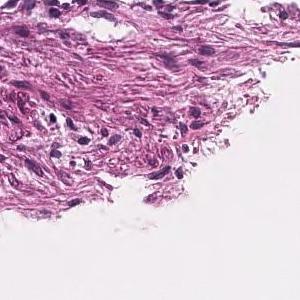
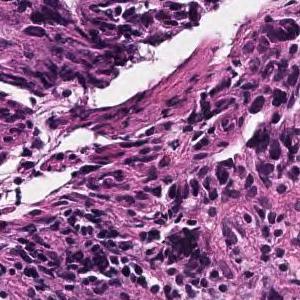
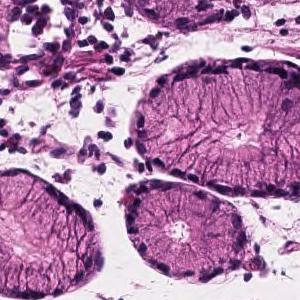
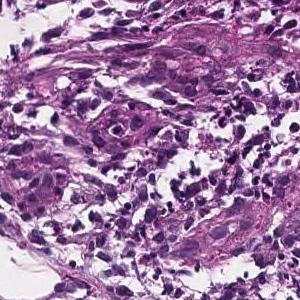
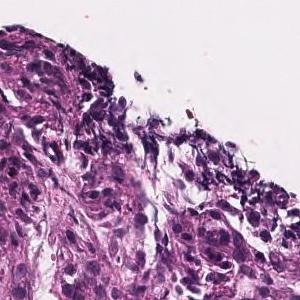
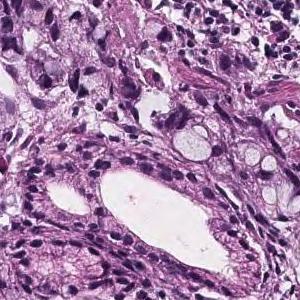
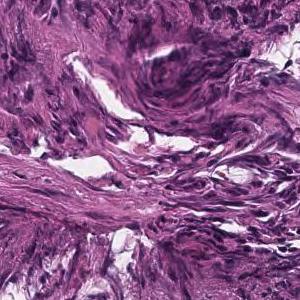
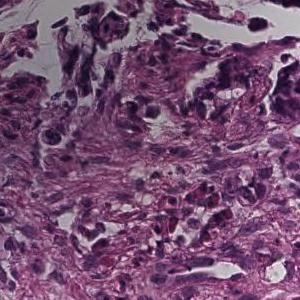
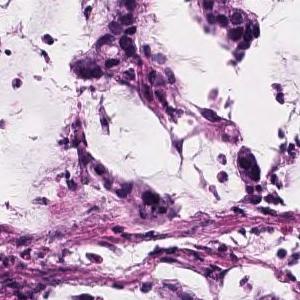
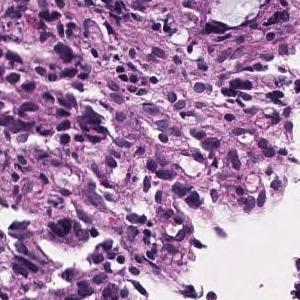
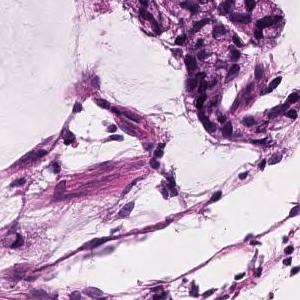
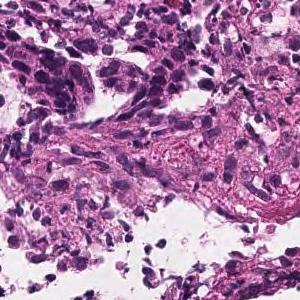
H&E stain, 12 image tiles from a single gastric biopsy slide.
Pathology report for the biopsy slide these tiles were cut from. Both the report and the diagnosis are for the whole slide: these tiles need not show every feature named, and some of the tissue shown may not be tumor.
Atypical epithelial cells form obscure ductal structures or small solid follicles, and tumor tissue that proliferates invasively with proliferation of inflammatory granulation tissue is observed. Mucinous adenocarcinoma .
